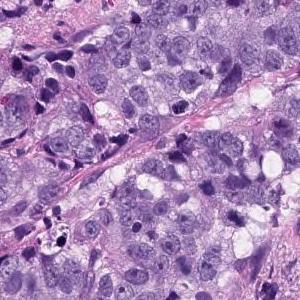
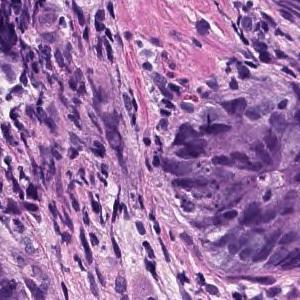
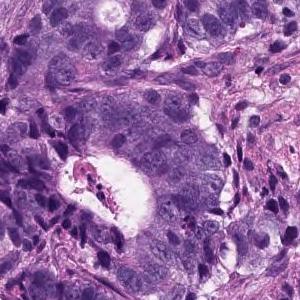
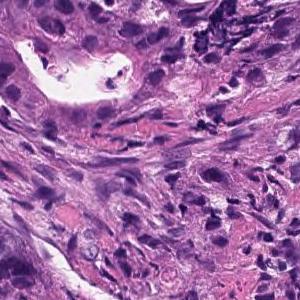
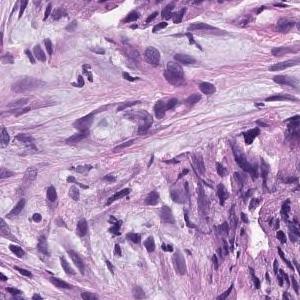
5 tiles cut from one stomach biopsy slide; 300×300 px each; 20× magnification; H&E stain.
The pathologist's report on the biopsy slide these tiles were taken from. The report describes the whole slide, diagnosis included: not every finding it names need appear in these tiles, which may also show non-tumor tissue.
Medium to small, irregular glandular ducts are formed in the superficial epithelium, and in some cases, the glandular ducts are fused to show solid alveolar lesions and infiltrating tumor tissue is observed. Moderately to poorly differentiated adenocarcinoma.
